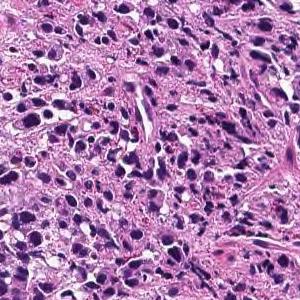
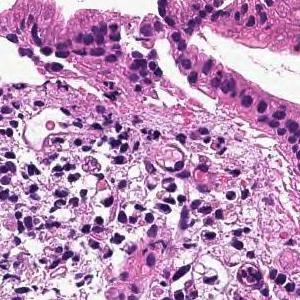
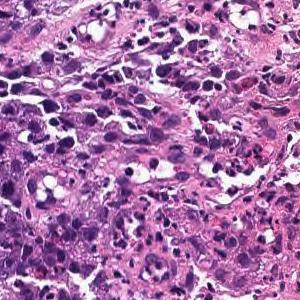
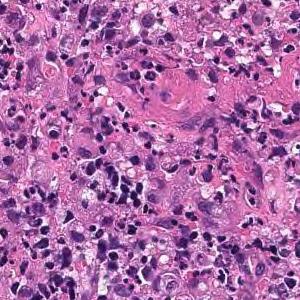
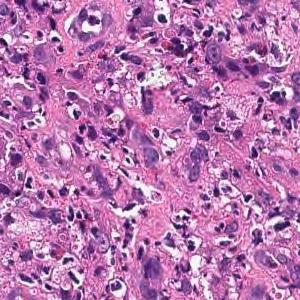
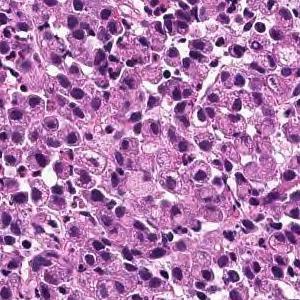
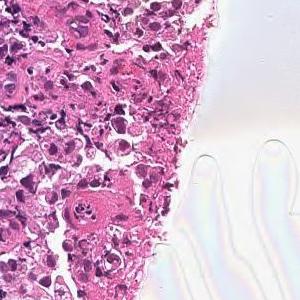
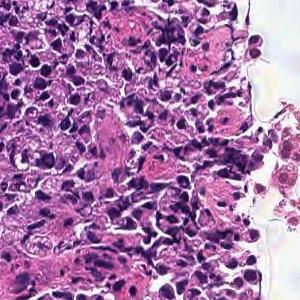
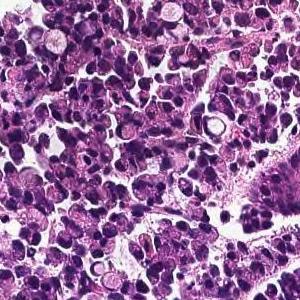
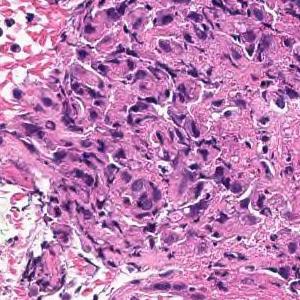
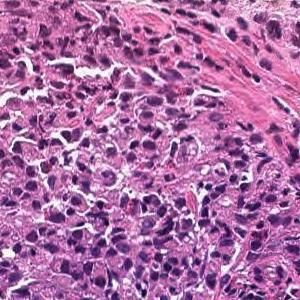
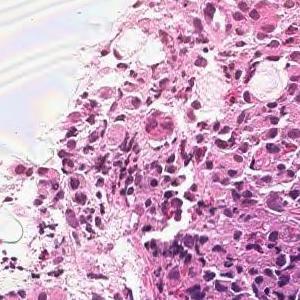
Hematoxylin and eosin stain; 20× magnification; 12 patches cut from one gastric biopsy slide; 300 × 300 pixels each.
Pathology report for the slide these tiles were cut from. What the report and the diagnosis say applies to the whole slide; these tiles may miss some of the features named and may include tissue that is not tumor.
Tumor tissue consisting of diffusely infiltrated large atypical epithelial cells or signet ring atypical cells is observed in the superficial epithelium. Poorly differentiated adenocarcinoma, solid-type
Tumor subtype: poorly differentiated adenocarcinoma, solid type, a category of the Japanese Classification of Gastric Carcinoma; in the WHO 2019 classification it is tubular adenocarcinoma, poorly differentiated.
